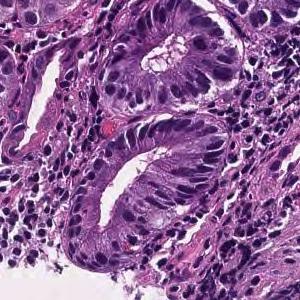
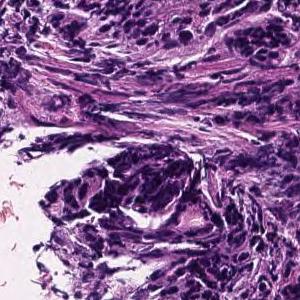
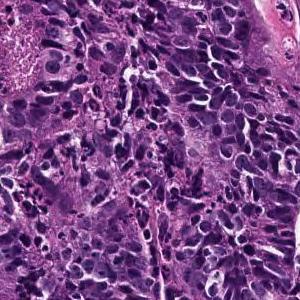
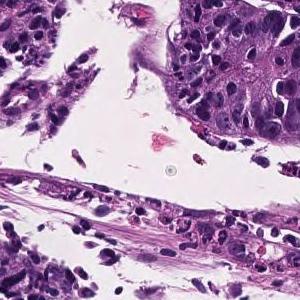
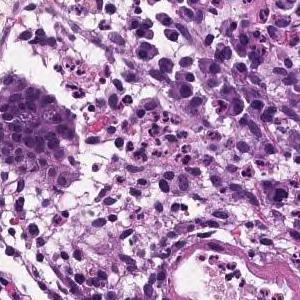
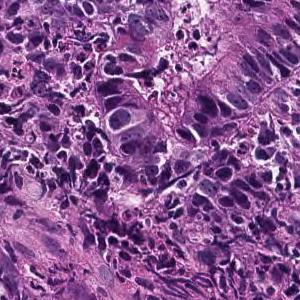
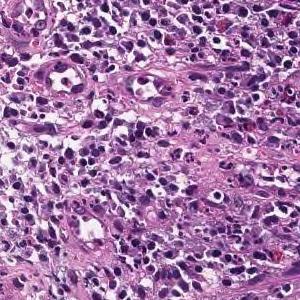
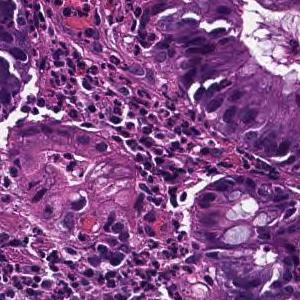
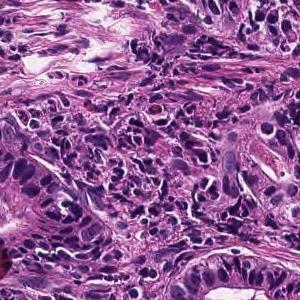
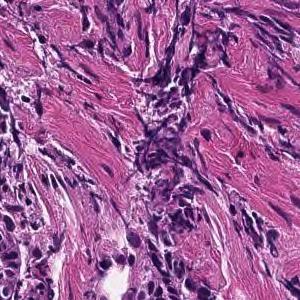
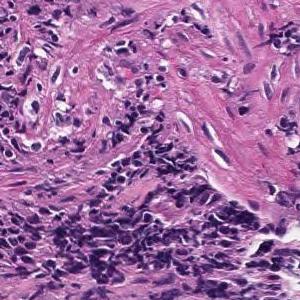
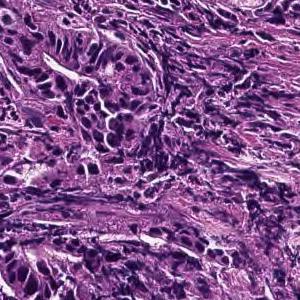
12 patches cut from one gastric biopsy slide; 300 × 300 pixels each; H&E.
Report on the slide these tiles come from. The report and the diagnosis describe the slide as a whole, so these tiles may not show every feature named and may include non-tumor tissue.
On the superficial epithelium, tumor tissue consisting of large, irregular glandular ducts partially fused and infiltrated is observed. Well to moderately differentiated tubular adenocarcinoma (well differentiated tubular adenocarcinoma, moderately differentiated tubular adenocarcinoma)
Classified as well to moderately differentiated tubular adenocarcinoma.
